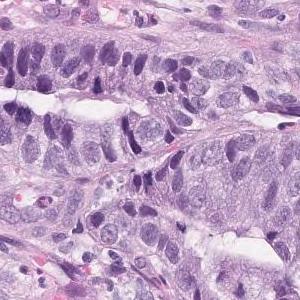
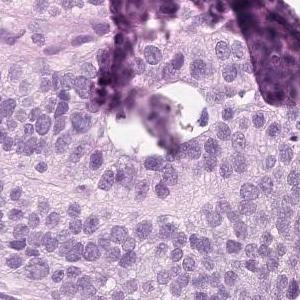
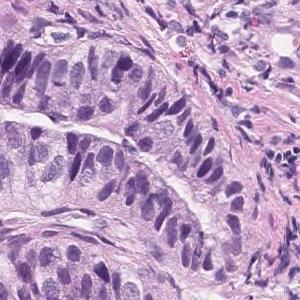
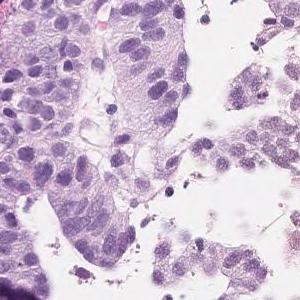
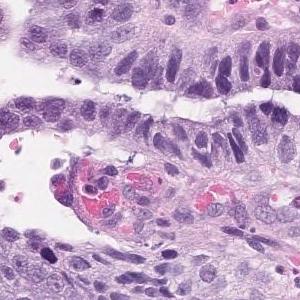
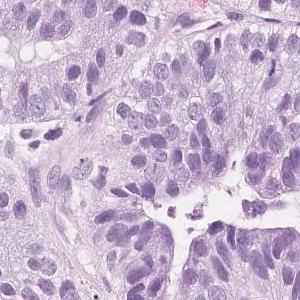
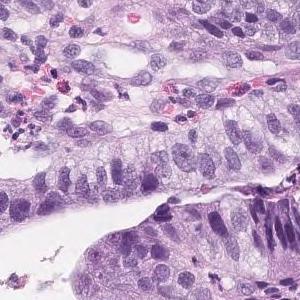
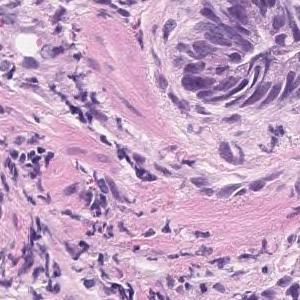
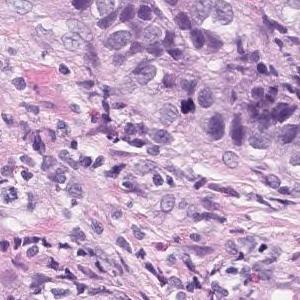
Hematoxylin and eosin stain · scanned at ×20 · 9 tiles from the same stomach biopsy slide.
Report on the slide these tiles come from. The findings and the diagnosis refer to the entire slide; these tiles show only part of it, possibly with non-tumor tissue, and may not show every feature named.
Tumor tissue in which highly columnar atypical epithelial cells with nuclear enlargement and increased nuclear chromatin show papillary to papillary ductal structure and proliferate is observed. Papillary adenocarcinoma.
